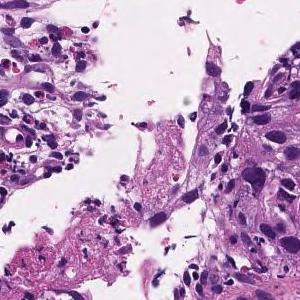
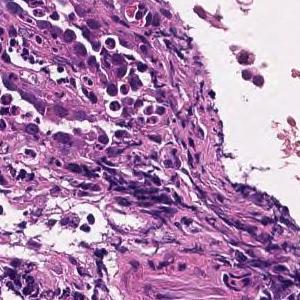
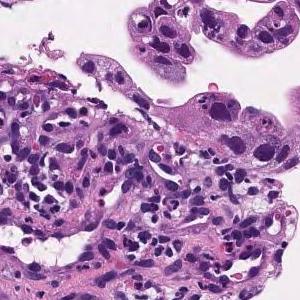
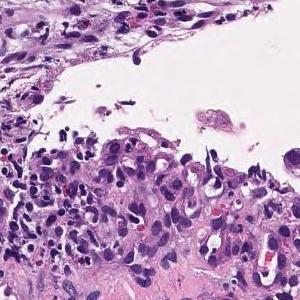
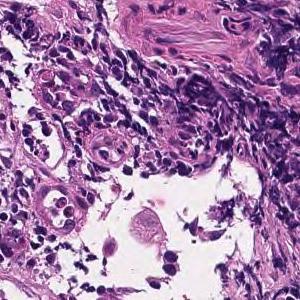
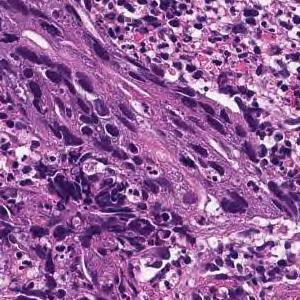
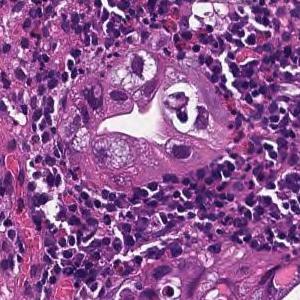
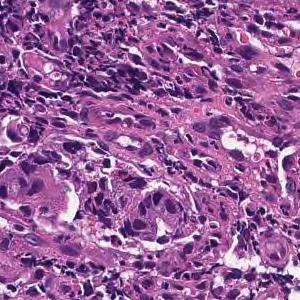
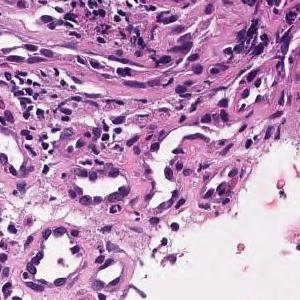
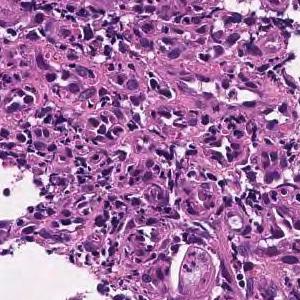
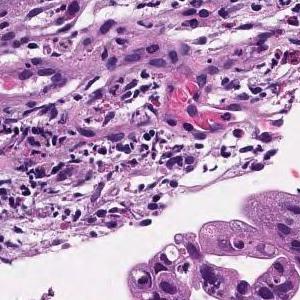
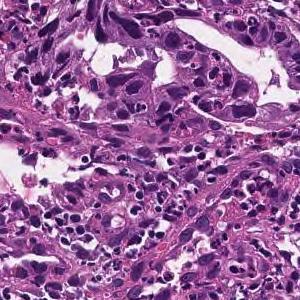
20× magnification; hematoxylin and eosin stain; 12 image tiles from a single gastric biopsy slide.
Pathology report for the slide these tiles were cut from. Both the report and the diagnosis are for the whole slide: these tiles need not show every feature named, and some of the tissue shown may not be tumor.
In the superficial epithelium, tumor tissue that invades by forming medium-sized to small, irregular ducts is observed. moderately differentiated tubular adenocarcinoma.
